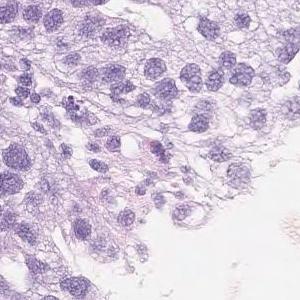
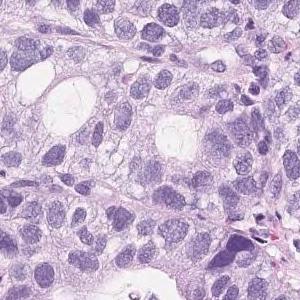
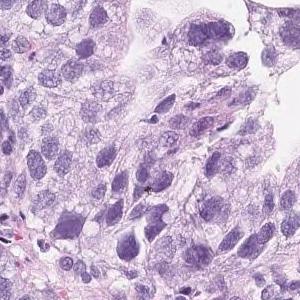
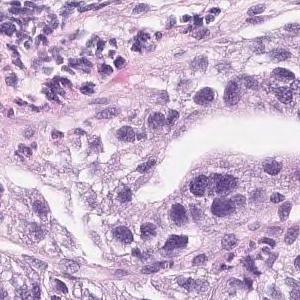
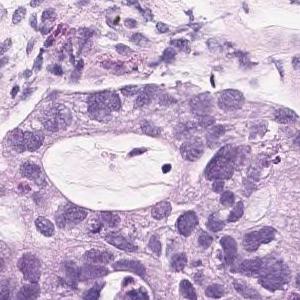
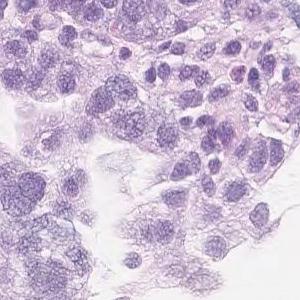
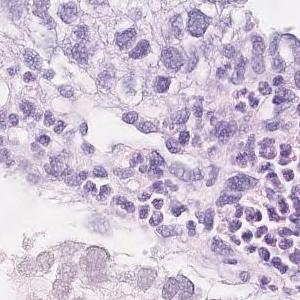
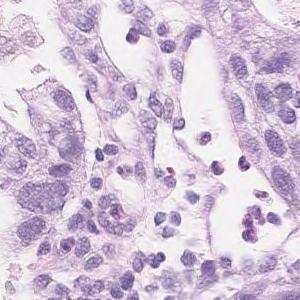
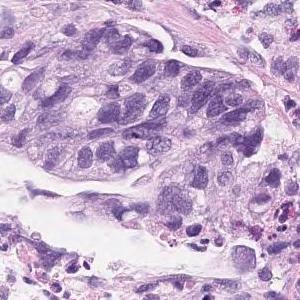
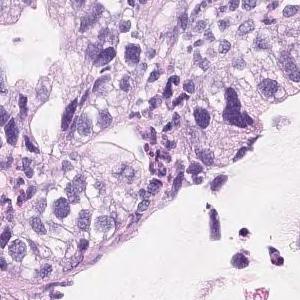
10 tiles from the same stomach biopsy slide.
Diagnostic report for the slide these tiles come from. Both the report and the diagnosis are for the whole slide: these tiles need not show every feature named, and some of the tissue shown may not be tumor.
On the superficial epithelium, tumor tissue consisting of large, irregular glandular ducts partially fused and infiltrated is observed. Well to moderately differentiated tubular adenocarcinoma (well differentiated tubular adenocarcinoma, moderately differentiated tubular adenocarcinoma)
Subtype: Well to moderately differentiated tubular adenocarcinoma.
